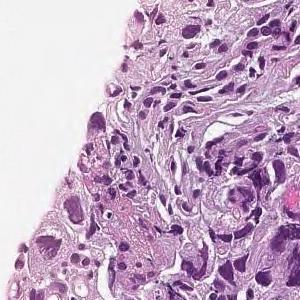
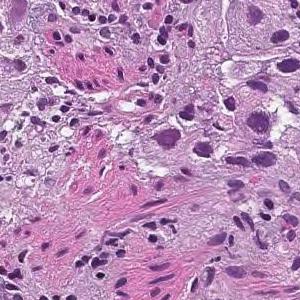
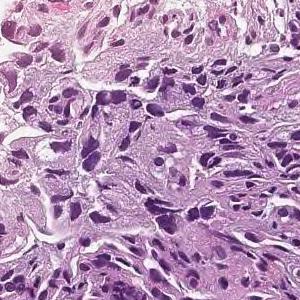
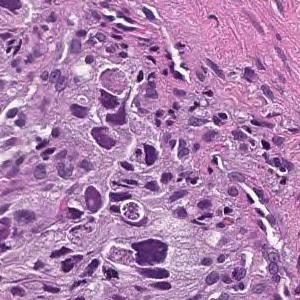
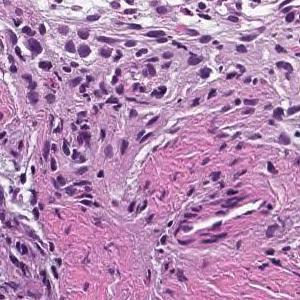
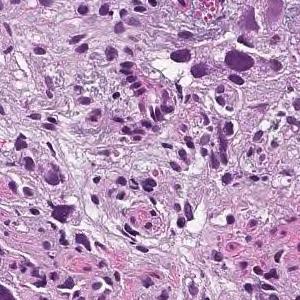
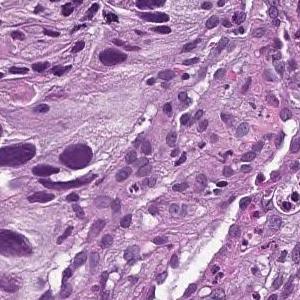
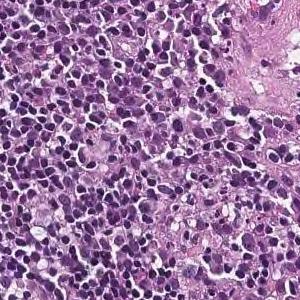
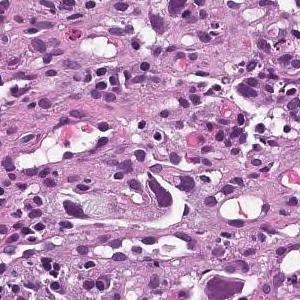
9 patches cut from one gastric biopsy slide · 300×300 px each · H&E stain.
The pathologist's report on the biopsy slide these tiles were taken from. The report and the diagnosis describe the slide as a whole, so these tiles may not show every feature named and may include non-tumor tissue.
Tumor tissue consisting of cord-like or small irregular glandular ducts fused is observed infiltrating in the superficial epithelium. Poorly differentiated adenocarcinoma, non-solid type
The term "non-solid type" comes from the Japanese Classification of Gastric Carcinoma.
